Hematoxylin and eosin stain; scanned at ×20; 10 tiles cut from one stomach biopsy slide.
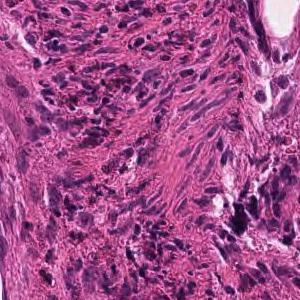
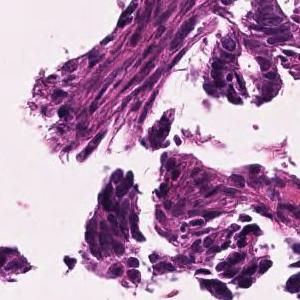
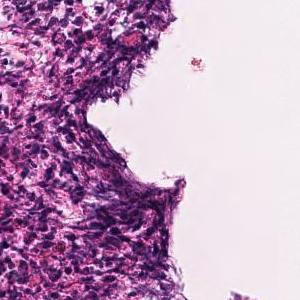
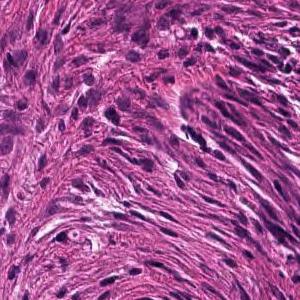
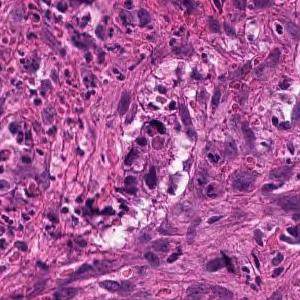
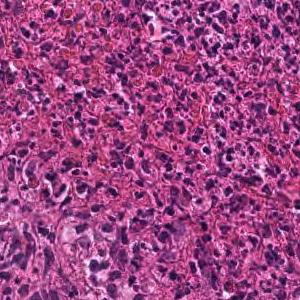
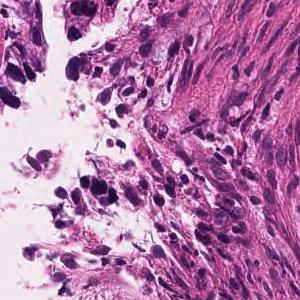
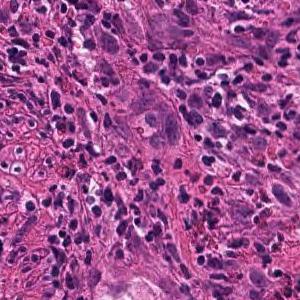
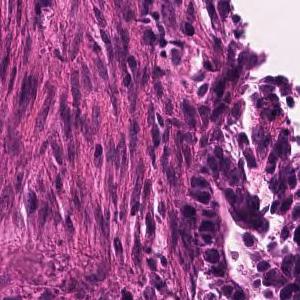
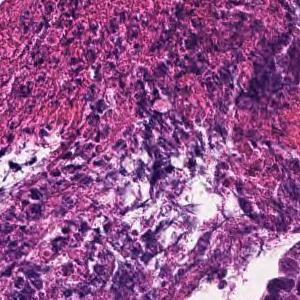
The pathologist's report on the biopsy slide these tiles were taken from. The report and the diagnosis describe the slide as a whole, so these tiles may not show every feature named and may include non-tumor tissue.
In the superficial epithelium, tumor tissue that invades by forming medium-sized to small, irregular ducts is observed. moderately differentiated tubular adenocarcinoma.
